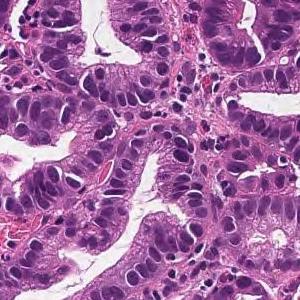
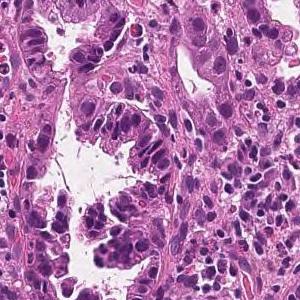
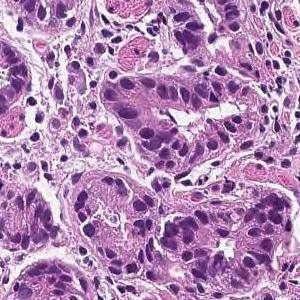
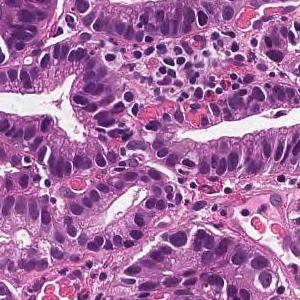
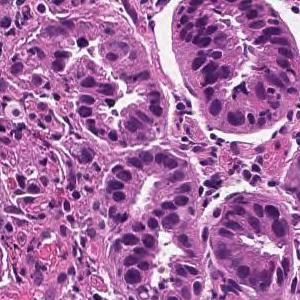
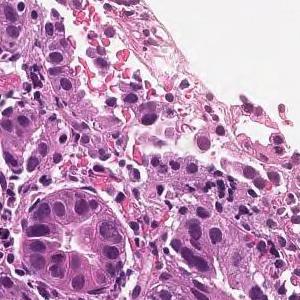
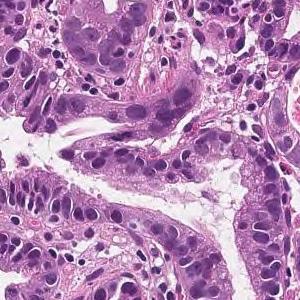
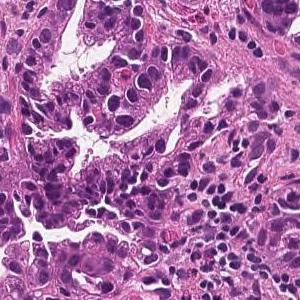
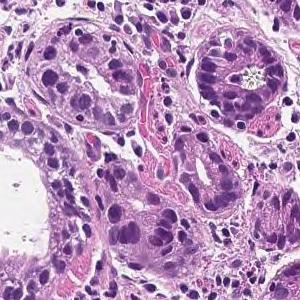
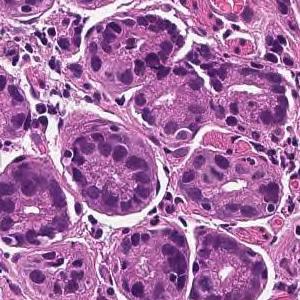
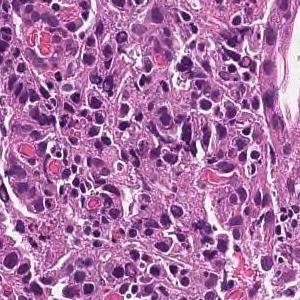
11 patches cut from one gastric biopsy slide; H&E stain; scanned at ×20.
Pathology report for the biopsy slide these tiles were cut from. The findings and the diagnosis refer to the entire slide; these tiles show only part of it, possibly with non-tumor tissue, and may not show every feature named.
On the superficial epithelium, tumor tissue consisting of large irregular glandular ducts partially fused and infiltrated is observed. Well to moderately differentiated tubular adenocarcinoma (well differentiated tubular adenocarcinoma, moderately differentiated tubular adenocarcinoma)
Histological subtype: Well to moderately differentiated tubular adenocarcinoma.
